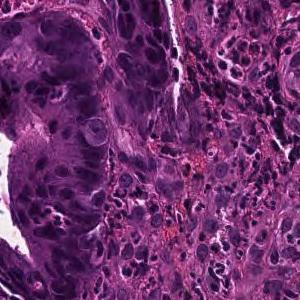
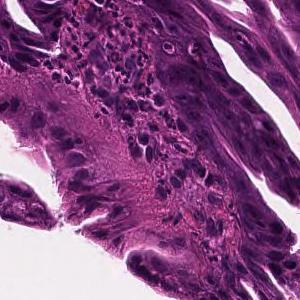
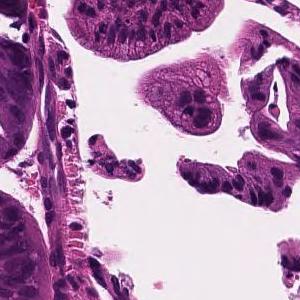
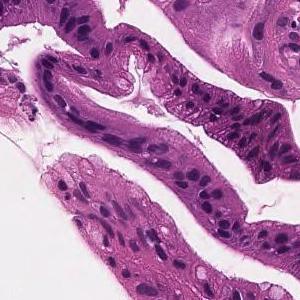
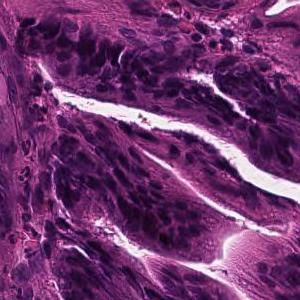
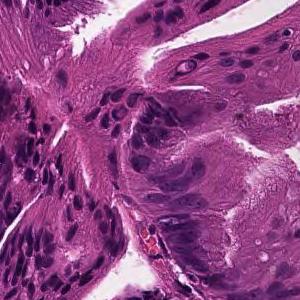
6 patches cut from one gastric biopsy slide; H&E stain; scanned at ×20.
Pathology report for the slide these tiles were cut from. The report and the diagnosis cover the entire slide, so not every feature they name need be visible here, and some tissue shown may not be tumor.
Tumor cells are large, highly columnar, large club-shaped nuclei, and are associated with chromatin aggregation. Papillary adenocarcinoma.
